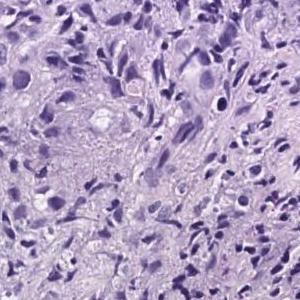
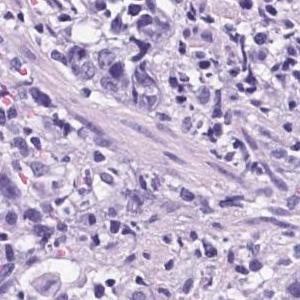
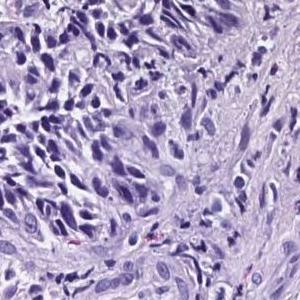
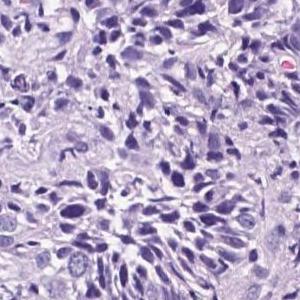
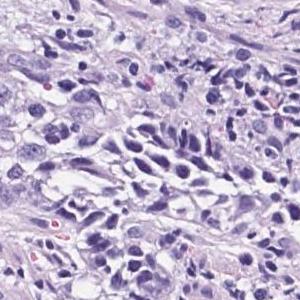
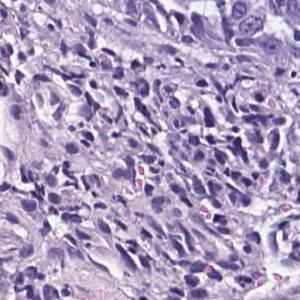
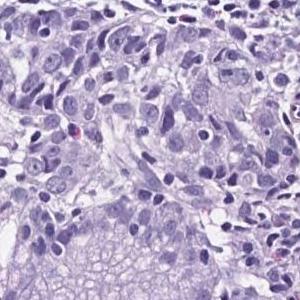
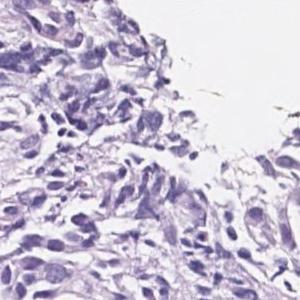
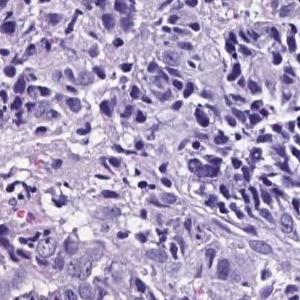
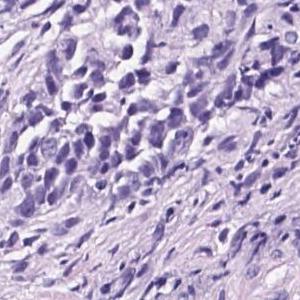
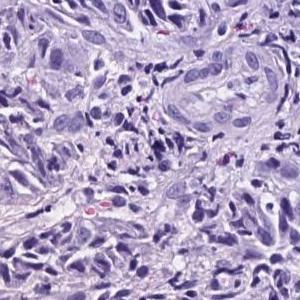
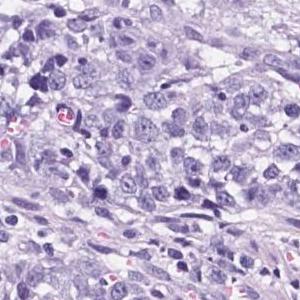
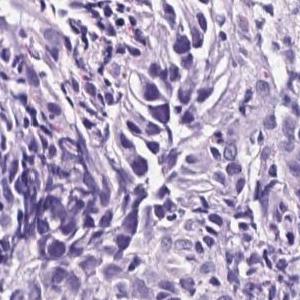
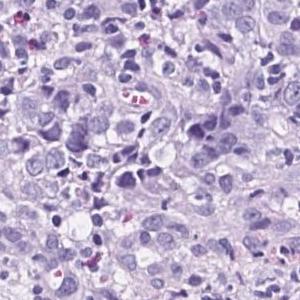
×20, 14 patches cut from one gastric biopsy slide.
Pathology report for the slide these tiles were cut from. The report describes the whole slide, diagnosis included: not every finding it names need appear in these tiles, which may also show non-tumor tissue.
Medium to small atypical epithelial cells that become cord-like or irregularly agglomerated and infiltrate. Poorly differentiated adenocarcinoma
Histologic type: Poorly differentiated adenocarcinoma, solid type, a category of the Japanese Classification of Gastric Carcinoma; in the WHO 2019 classification it is tubular adenocarcinoma, poorly differentiated.
